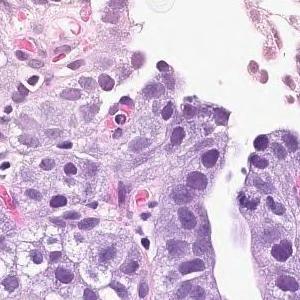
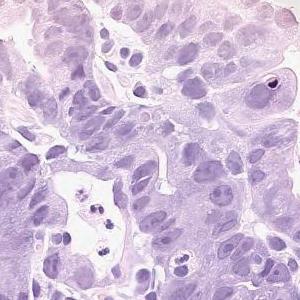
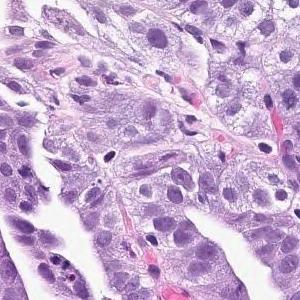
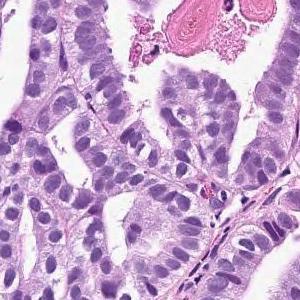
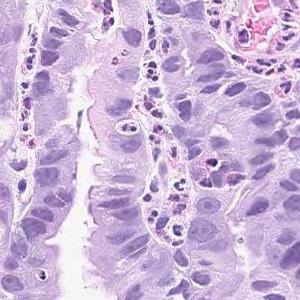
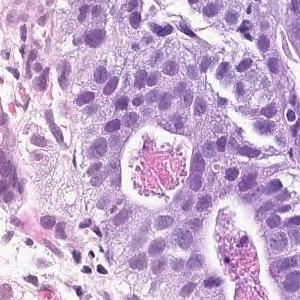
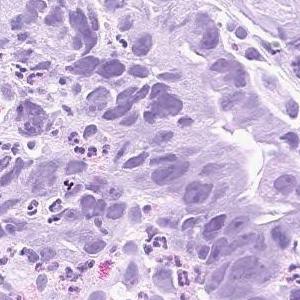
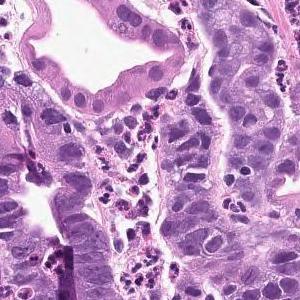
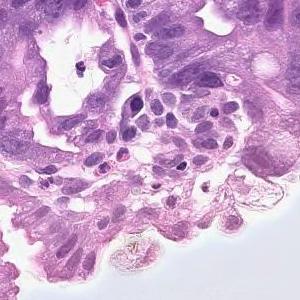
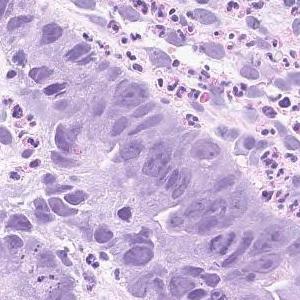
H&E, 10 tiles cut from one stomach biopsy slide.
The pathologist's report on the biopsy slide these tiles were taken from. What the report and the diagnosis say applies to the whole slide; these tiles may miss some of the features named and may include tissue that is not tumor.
Infiltrating tumor tissue is observed in the superficial epithelium, showing large papillary structures or large and small ducts. Papillary adenocarcinoma
